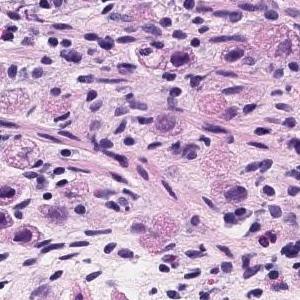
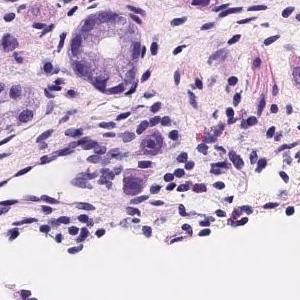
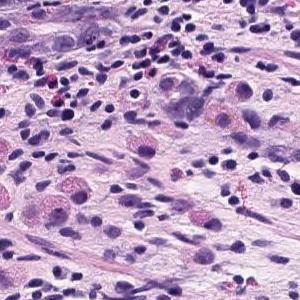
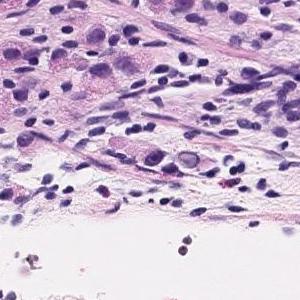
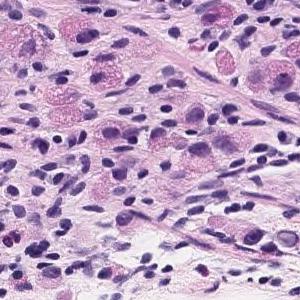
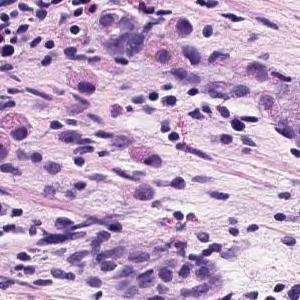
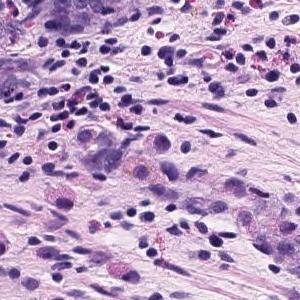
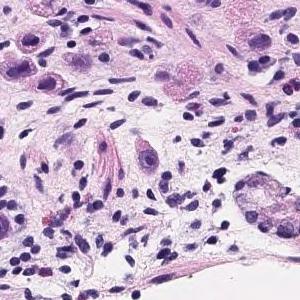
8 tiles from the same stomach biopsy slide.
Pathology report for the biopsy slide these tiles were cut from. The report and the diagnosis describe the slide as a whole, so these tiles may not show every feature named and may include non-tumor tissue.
Solid proliferation of epithelial cells deviating from the existing ducts is observed. Signet ring cell carcinoma.
